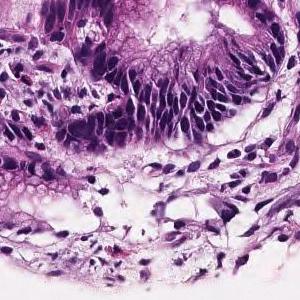
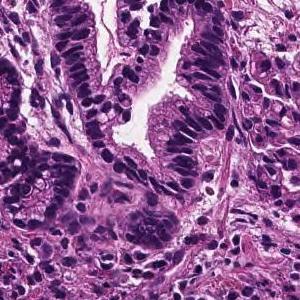
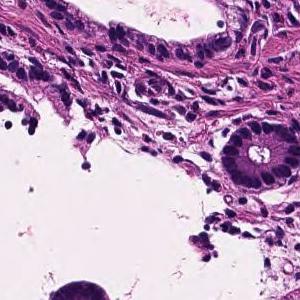
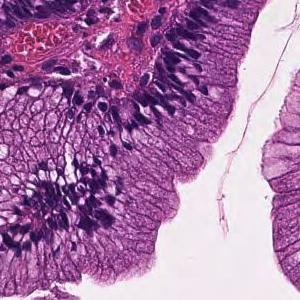
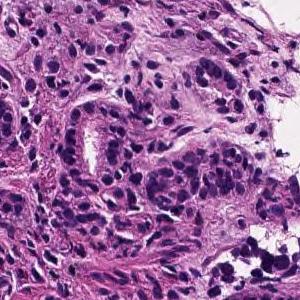
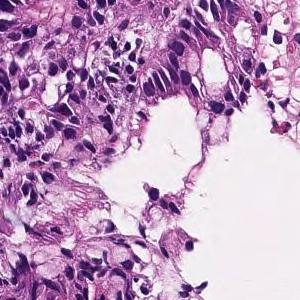
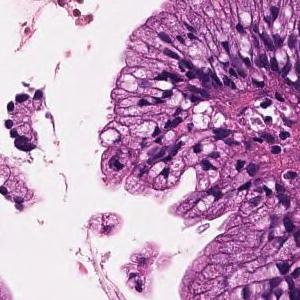
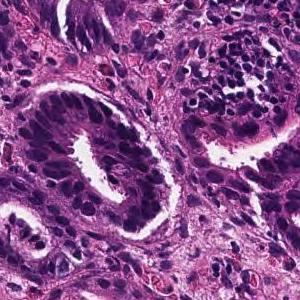
20× magnification · 8 tiles from the same stomach biopsy slide · each 300 × 300 pixels.
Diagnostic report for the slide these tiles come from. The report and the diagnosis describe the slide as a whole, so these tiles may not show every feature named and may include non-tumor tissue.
On the superficial epithelium, tumor tissue consisting of medium-sized and irregular glandular ducts partially fused and infiltrated is observed. Well to moderately differentiated tubular adenocarcinoma (well differentiated tubular adenocarcinoma-moderately differentiated tubular adenocarcinoma)
Subtype: Well to moderately differentiated tubular adenocarcinoma.
